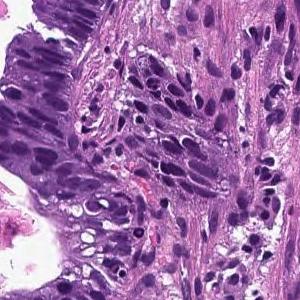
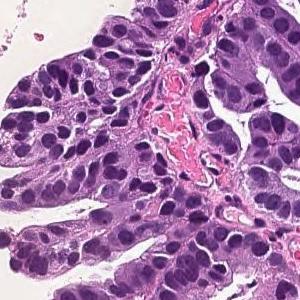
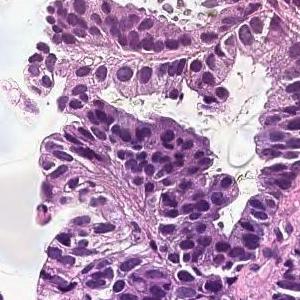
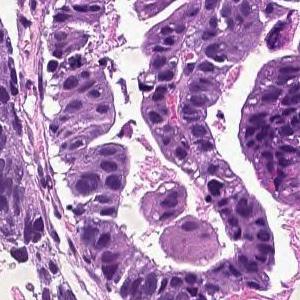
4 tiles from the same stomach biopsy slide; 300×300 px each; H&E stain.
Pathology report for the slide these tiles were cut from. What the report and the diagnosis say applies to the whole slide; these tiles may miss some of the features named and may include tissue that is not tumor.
Tumor cells are large, highly columnar, large club-shaped nuclei, and are associated with chromatin aggregation. Papillary adenocarcinoma.
